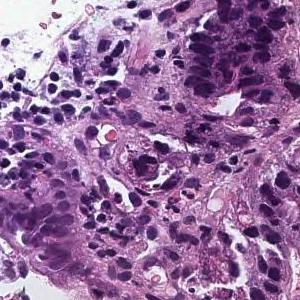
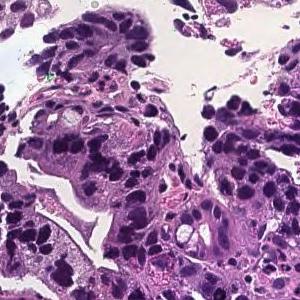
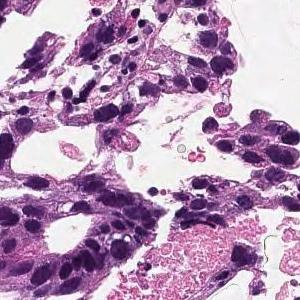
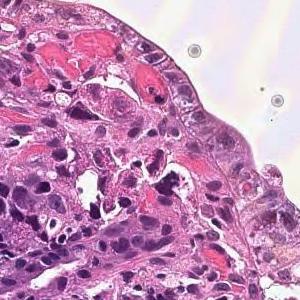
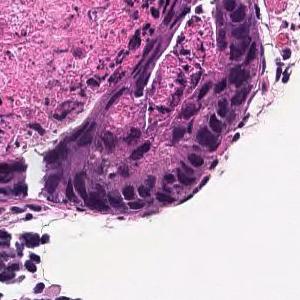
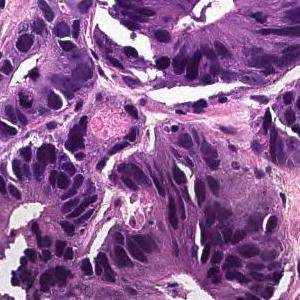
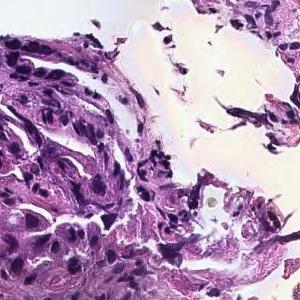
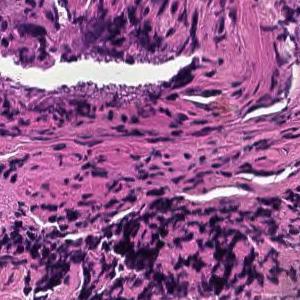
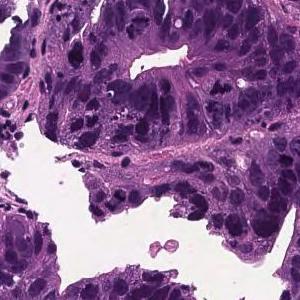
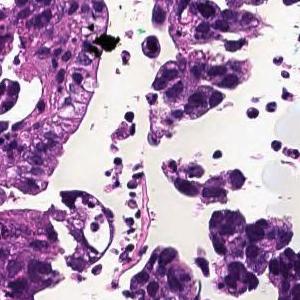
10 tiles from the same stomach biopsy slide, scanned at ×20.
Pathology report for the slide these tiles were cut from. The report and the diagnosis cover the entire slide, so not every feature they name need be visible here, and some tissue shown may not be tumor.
In the superficial epithelium, tumor tissue that invades by forming medium-sized to small, irregular ducts is observed. moderately differentiated tubular adenocarcinoma.
